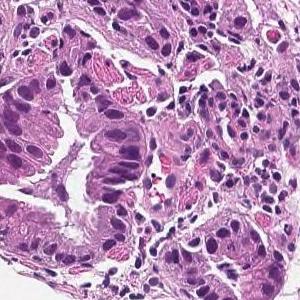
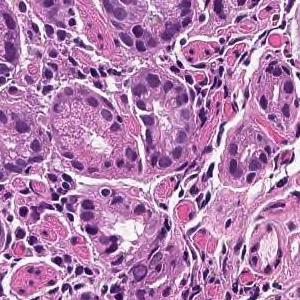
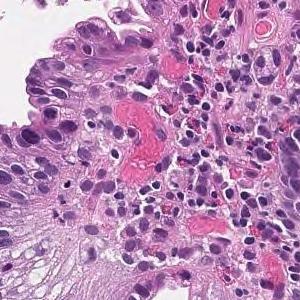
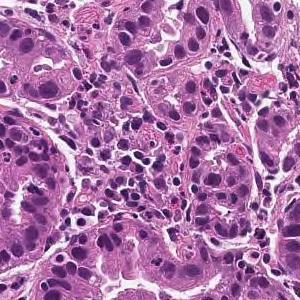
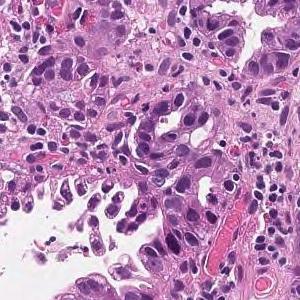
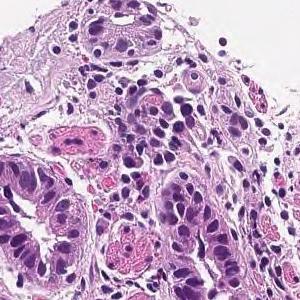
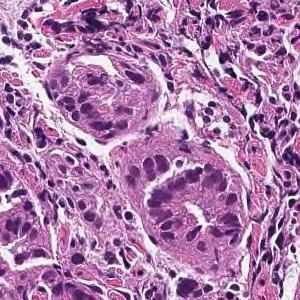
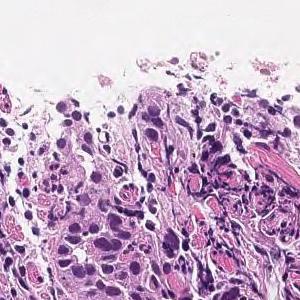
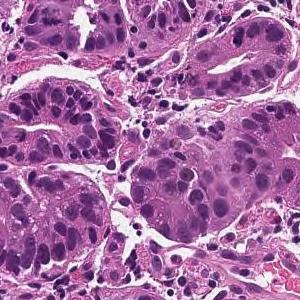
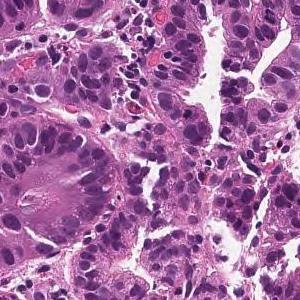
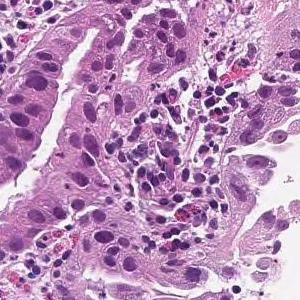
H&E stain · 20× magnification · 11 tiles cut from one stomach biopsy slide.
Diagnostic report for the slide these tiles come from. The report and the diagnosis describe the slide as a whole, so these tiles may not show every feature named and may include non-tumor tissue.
On the superficial epithelium, tumor tissue consisting of large irregular glandular ducts partially fused and infiltrated is observed. Well to moderately differentiated tubular adenocarcinoma (well differentiated tubular adenocarcinoma, moderately differentiated tubular adenocarcinoma)
Histologic type: Well to moderately differentiated tubular adenocarcinoma.
